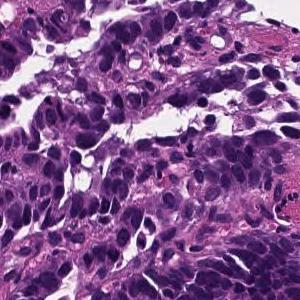
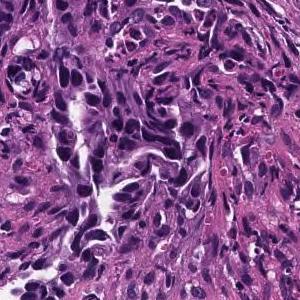
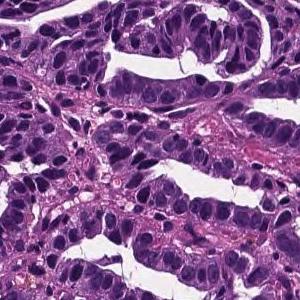
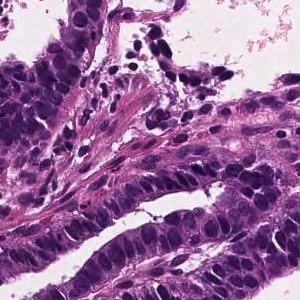
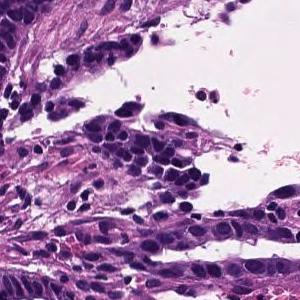
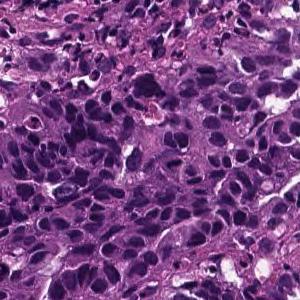
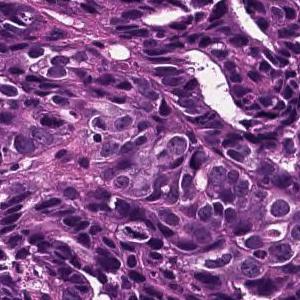
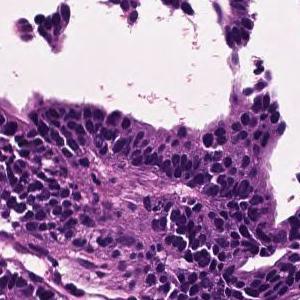
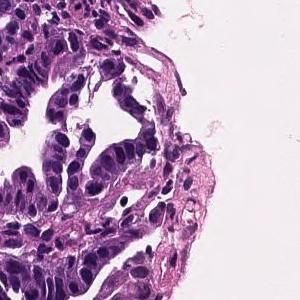
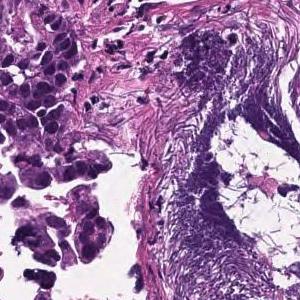
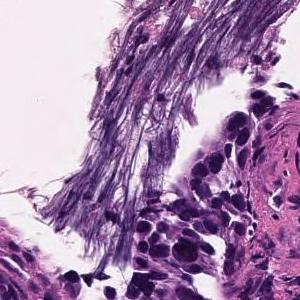
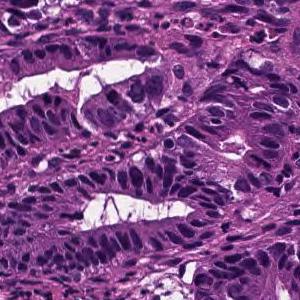
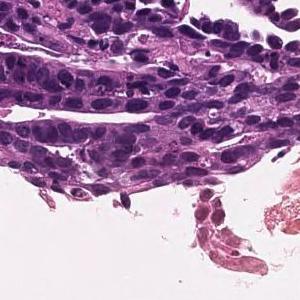
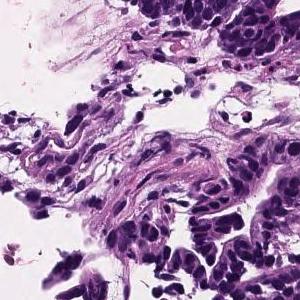
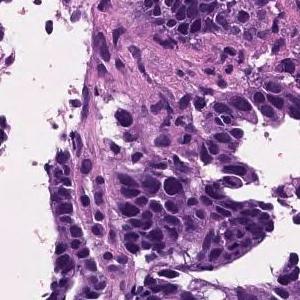
15 image tiles from a single gastric biopsy slide; hematoxylin and eosin stain.
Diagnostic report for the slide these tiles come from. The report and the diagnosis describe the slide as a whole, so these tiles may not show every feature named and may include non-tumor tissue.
Tumor cells are large, highly columnar, large club-shaped nuclei, and are associated with chromatin aggregation. Papillary adenocarcinoma.
